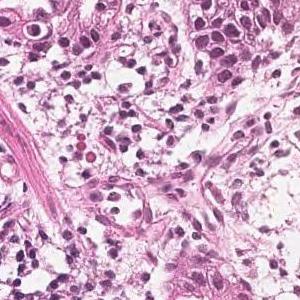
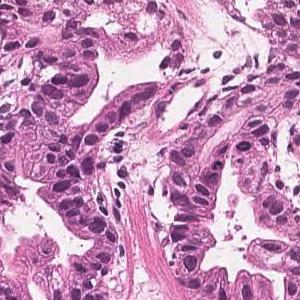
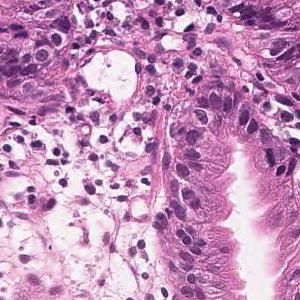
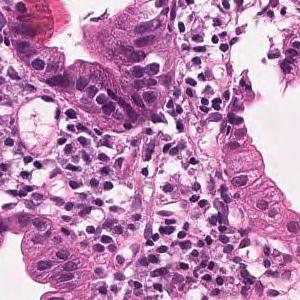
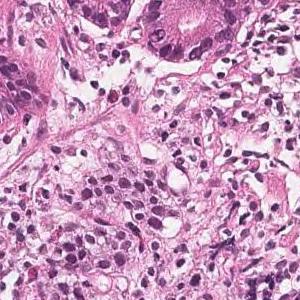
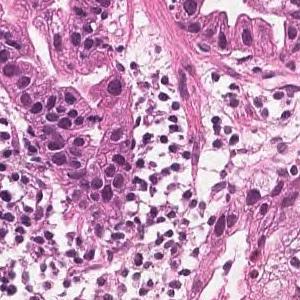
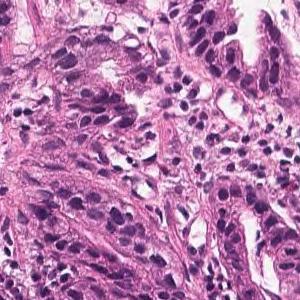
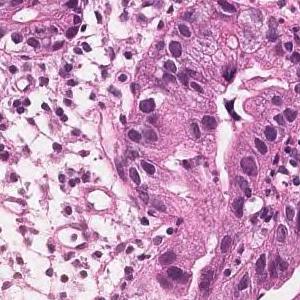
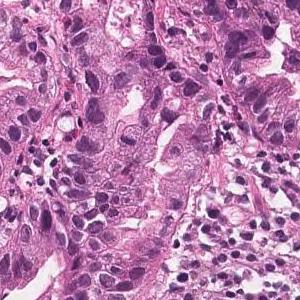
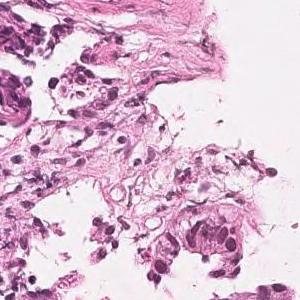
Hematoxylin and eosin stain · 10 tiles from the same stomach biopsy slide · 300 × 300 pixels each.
Pathology report for the biopsy slide these tiles were cut from. The report and the diagnosis describe the slide as a whole, so these tiles may not show every feature named and may include non-tumor tissue.
Tumor tissue consisting of medium-sized and irregular ducts is observed infiltrating in the superficial epithelium. Tumor cells are highly columnar, with nuclei aligned basolaterally and polarized. Well differentiated tubular adenocarcinoma.
